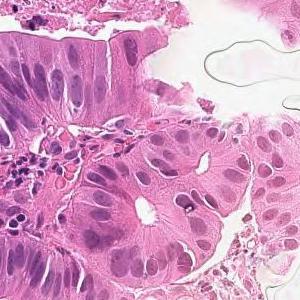
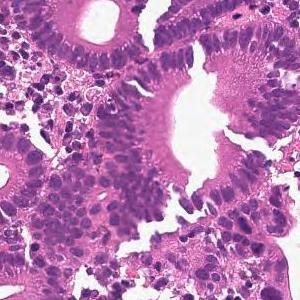
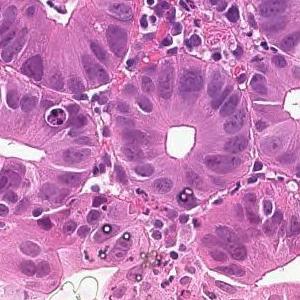
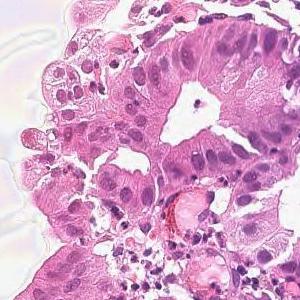
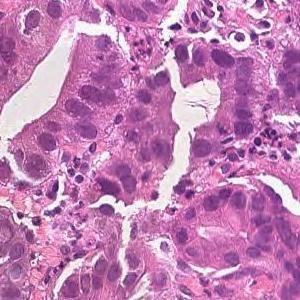
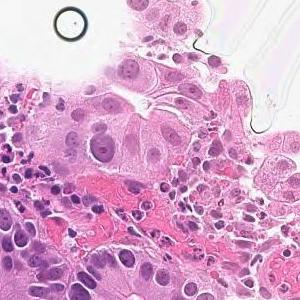
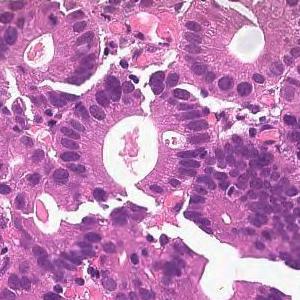
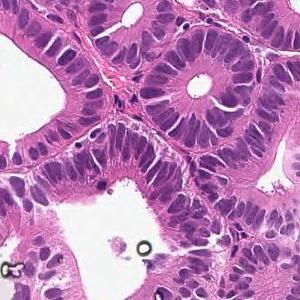
H&E stain · 8 patches cut from one gastric biopsy slide · 300 × 300 pixels each.
Diagnostic report for the slide these tiles come from. The findings and the diagnosis refer to the entire slide; these tiles show only part of it, possibly with non-tumor tissue, and may not show every feature named.
From the superficial epithelium to the muscularis mucosae, tumor tissue consisting of medium-sized and irregular glandular ducts infiltrating is observed. Well differentiated tubular adenocarcinoma
